H&E stain, 4 tiles from the same stomach biopsy slide.
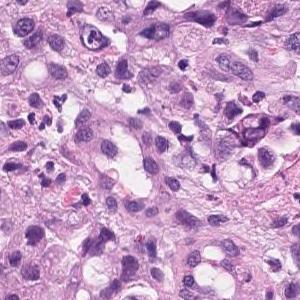
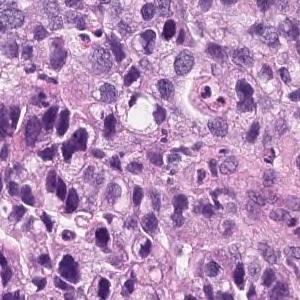
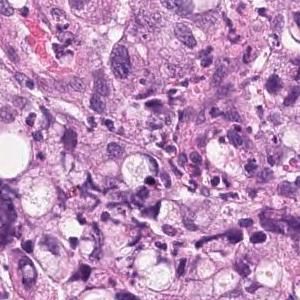
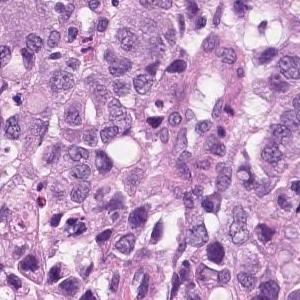
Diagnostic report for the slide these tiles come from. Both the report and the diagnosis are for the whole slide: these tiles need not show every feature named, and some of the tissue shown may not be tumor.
Group 5, Adenocarcinoma. Poorly differentiated adenocarcinoma, non-solid type
"Non-solid type" is a category of the Japanese Classification of Gastric Carcinoma.
